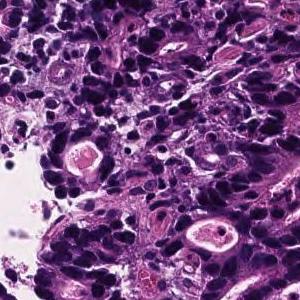
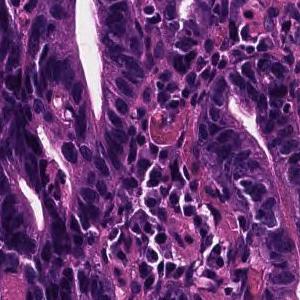
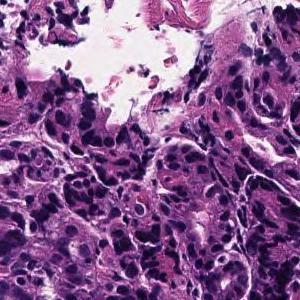
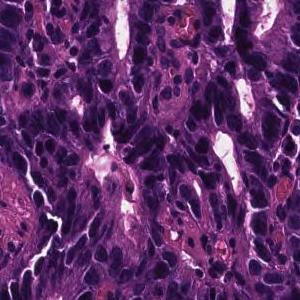
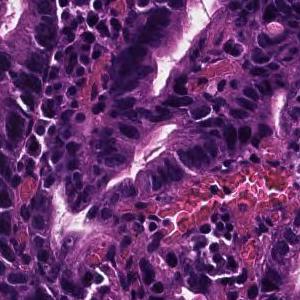
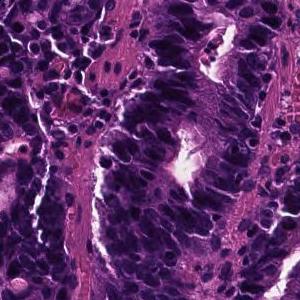
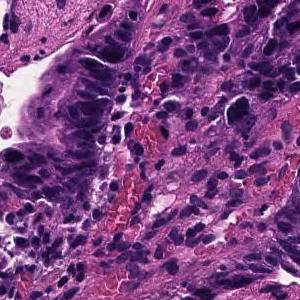
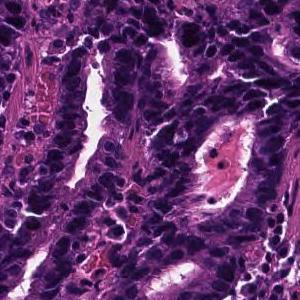
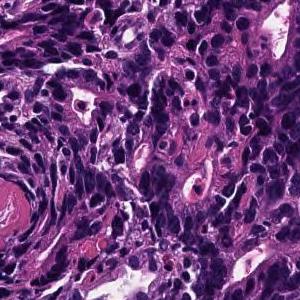
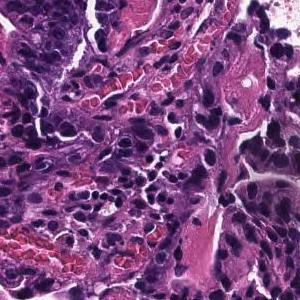
10 tiles from the same stomach biopsy slide · 300×300 px each · 20× magnification.
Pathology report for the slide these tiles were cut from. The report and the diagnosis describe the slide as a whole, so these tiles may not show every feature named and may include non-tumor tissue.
On the superficial epithelium, tumor tissue consisting of large, irregular glandular ducts partially fused and infiltrated is observed. Well to moderately differentiated tubular adenocarcinoma (well differentiated tubular adenocarcinoma, moderately differentiated tubular adenocarcinoma)
Subtype: Well to moderately differentiated tubular adenocarcinoma.
